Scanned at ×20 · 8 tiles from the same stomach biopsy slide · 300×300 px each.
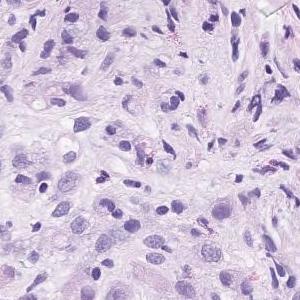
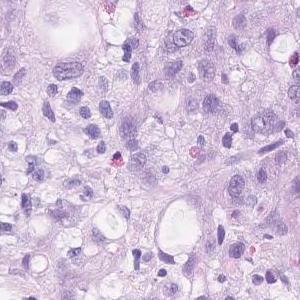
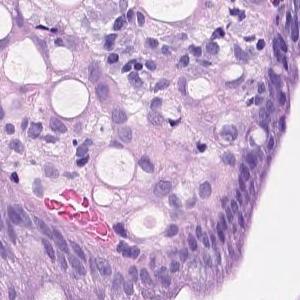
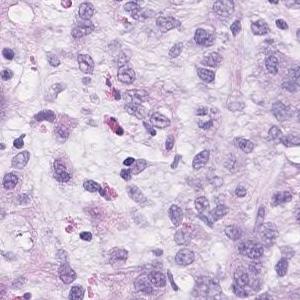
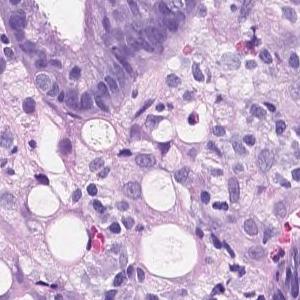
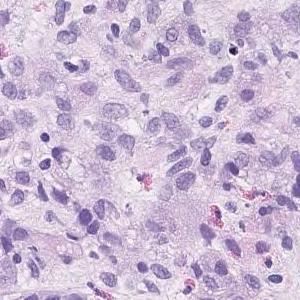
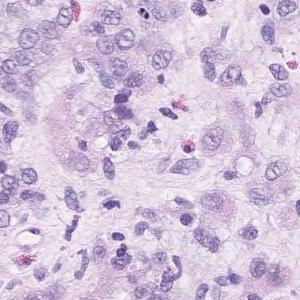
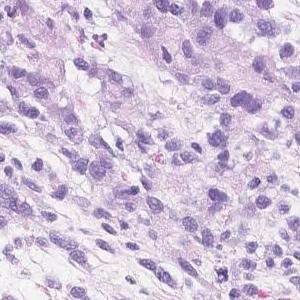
Diagnostic report for the slide these tiles come from. Both the report and the diagnosis are for the whole slide: these tiles need not show every feature named, and some of the tissue shown may not be tumor.
Group 5, Adenocarcinoma. Poorly differentiated adenocarcinoma, non-solid type
"Non-solid type" is a category of the Japanese Classification of Gastric Carcinoma.
